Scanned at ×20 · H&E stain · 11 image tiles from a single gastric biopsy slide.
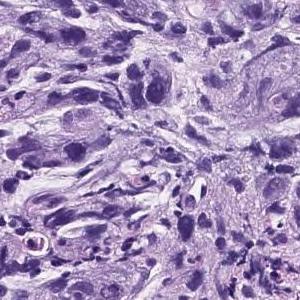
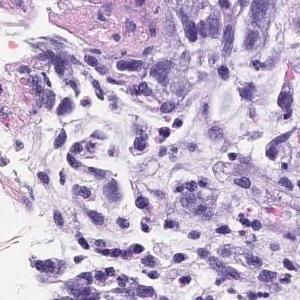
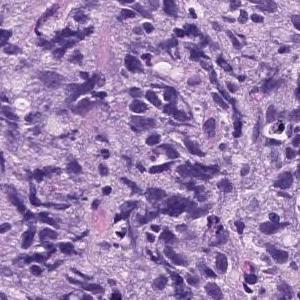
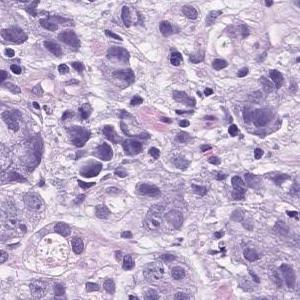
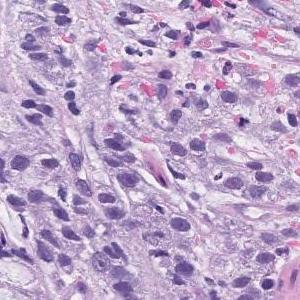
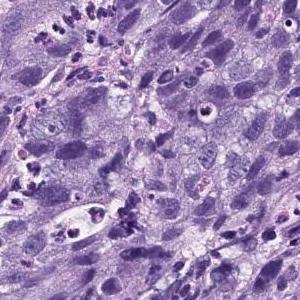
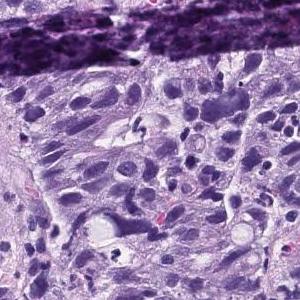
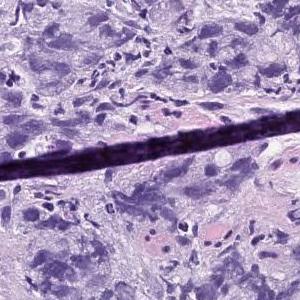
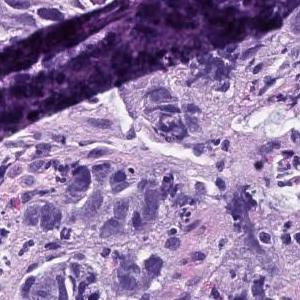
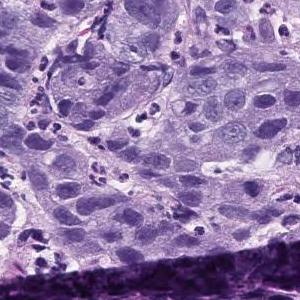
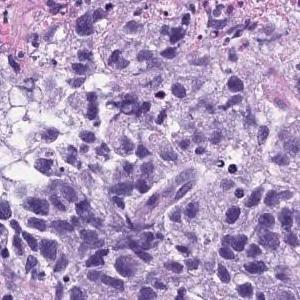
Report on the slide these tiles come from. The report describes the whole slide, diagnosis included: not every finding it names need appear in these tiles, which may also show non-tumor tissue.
Atypical l cells with atypical nuclei forming solid vesicles or small irregular atypical ducts that proliferate in a complex manner. poorly differentiated adenocarcinoma, solid type, moderately differentiated tubular adenocarcinoma
The solid type named here is a Japanese Classification of Gastric Carcinoma category; WHO 2019 calls it tubular adenocarcinoma, poorly differentiated.
